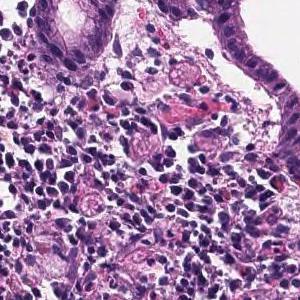
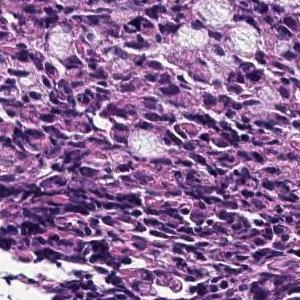
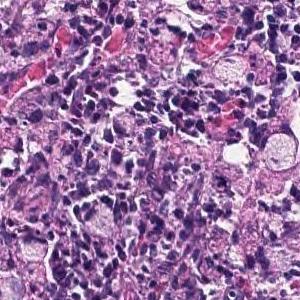
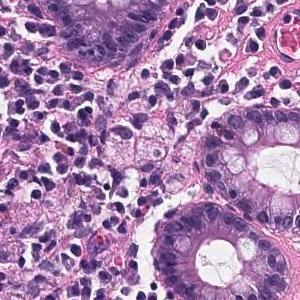
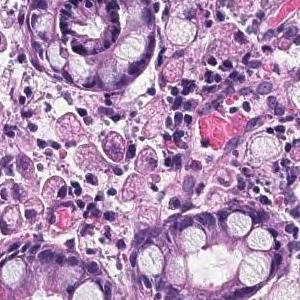
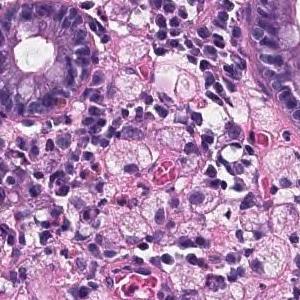
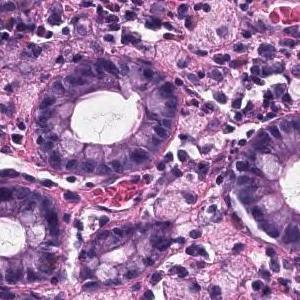
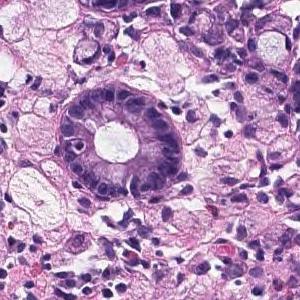
20× magnification; H&E stain; 8 patches cut from one gastric biopsy slide; each 300 × 300 pixels.
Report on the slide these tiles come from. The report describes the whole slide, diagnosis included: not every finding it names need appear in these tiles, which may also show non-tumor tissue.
A tumor tissue consisting of signet ring cell carcinoma cells is observed in the lamina propria. Signet ring cell carcinoma.
